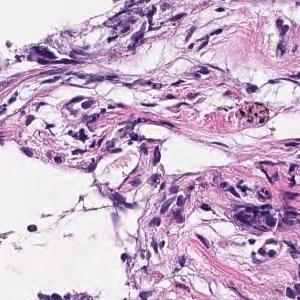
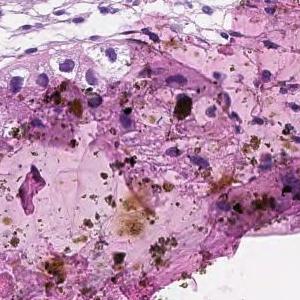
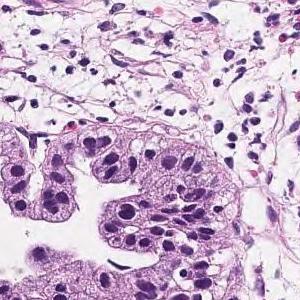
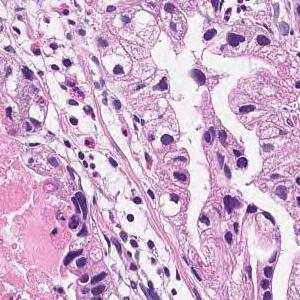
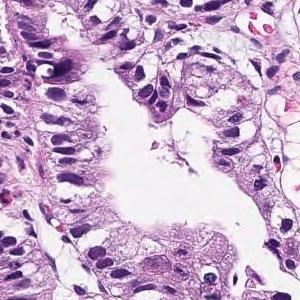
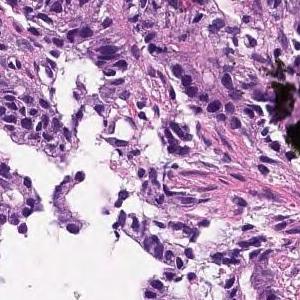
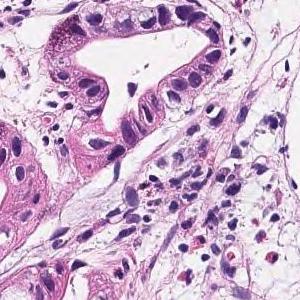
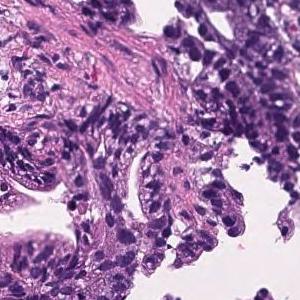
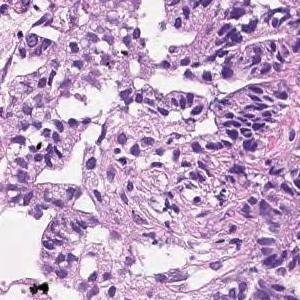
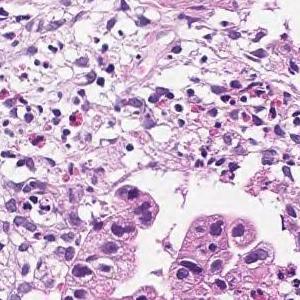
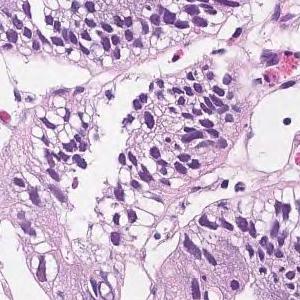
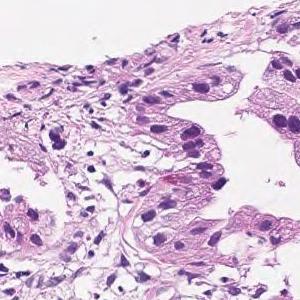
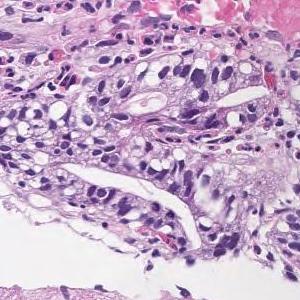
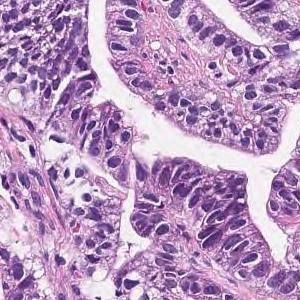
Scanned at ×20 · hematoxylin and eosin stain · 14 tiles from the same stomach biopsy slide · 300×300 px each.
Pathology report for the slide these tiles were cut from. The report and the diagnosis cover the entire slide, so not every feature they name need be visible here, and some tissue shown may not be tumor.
In the superficial epithelium, tumor tissue that invades by forming medium-sized to small, irregular ducts is observed. Moderately differentiated adenocarcinoma.
Classified as moderately differentiated tubular adenocarcinoma.
